10 patches cut from one gastric biopsy slide, H&E.
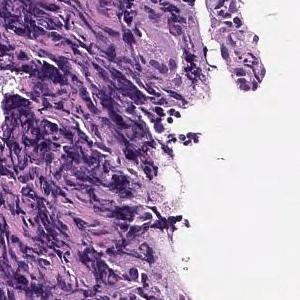
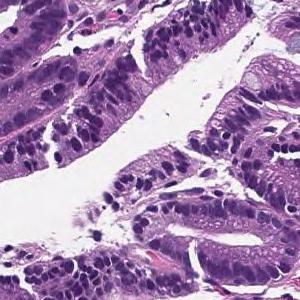
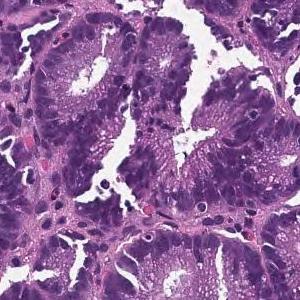
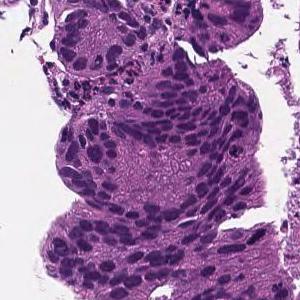
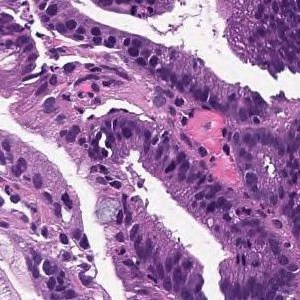
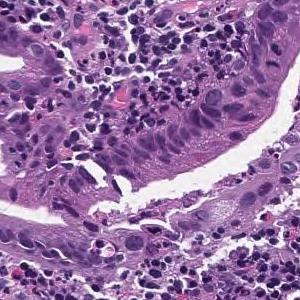
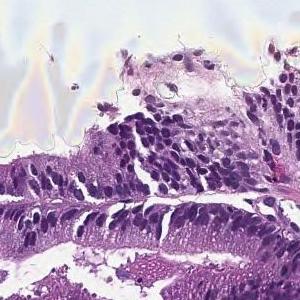
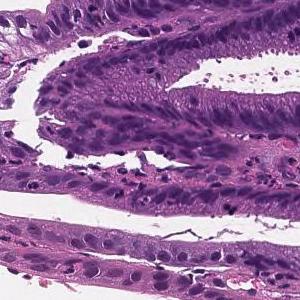
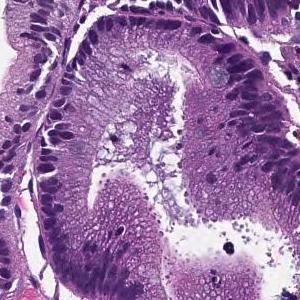
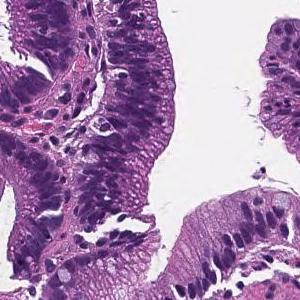
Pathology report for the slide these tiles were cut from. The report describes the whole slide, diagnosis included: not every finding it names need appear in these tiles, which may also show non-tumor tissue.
From the superficial epithelium to the muscularis mucosae, tumor tissue consisting of medium-sized and irregular glandular ducts infiltrating is observed. Well differentiated tubular adenocarcinoma
